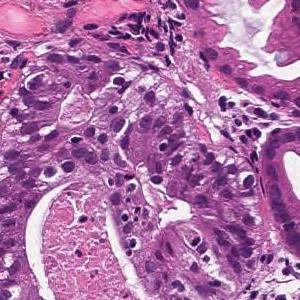
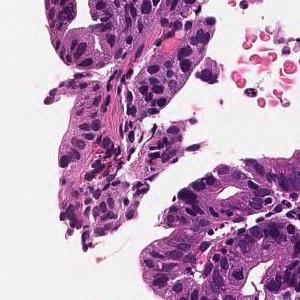
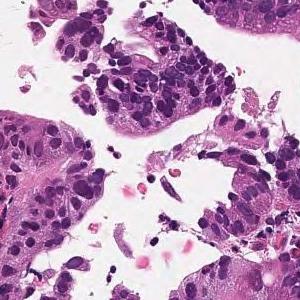
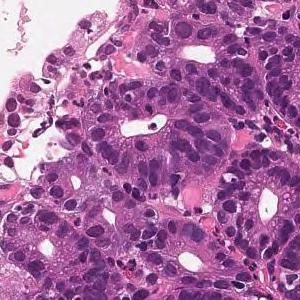
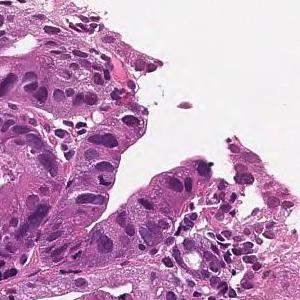
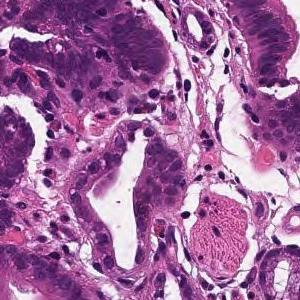
×20, H&E, 6 patches cut from one gastric biopsy slide, 300×300 px each.
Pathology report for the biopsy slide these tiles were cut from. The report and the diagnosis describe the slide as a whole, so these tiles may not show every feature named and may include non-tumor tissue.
In the superficial epithelium, tumor tissue that invades by forming medium-sized to small, irregular ducts is observed. moderately differentiated tubular adenocarcinoma.
